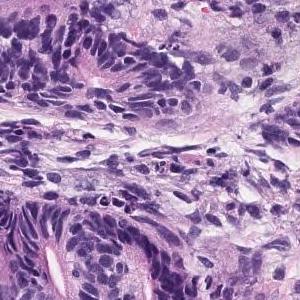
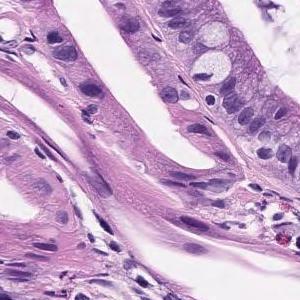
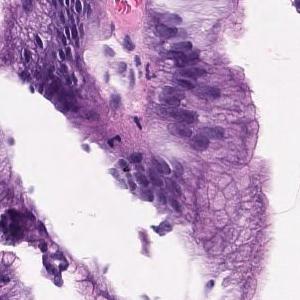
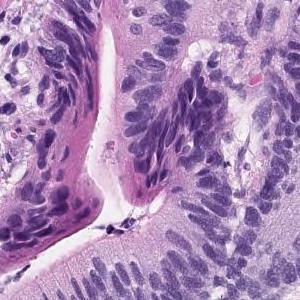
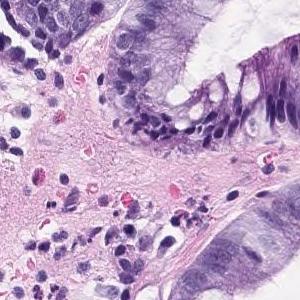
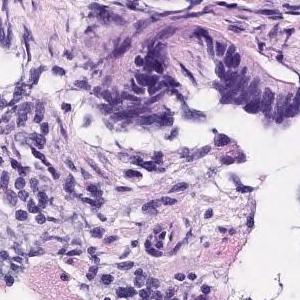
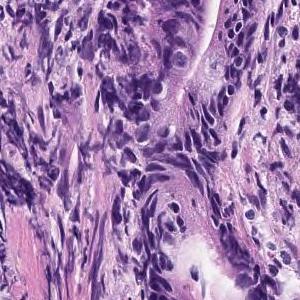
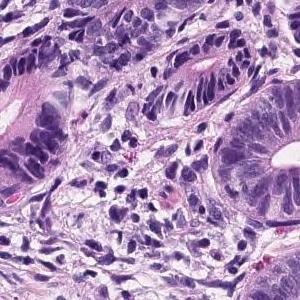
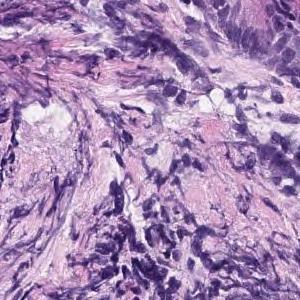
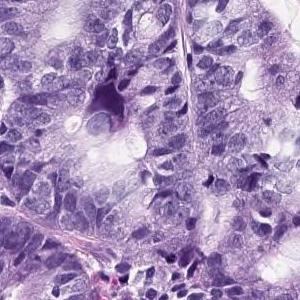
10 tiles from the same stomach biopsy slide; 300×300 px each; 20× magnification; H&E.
The pathologist's report on the biopsy slide these tiles were taken from. The report and the diagnosis describe the slide as a whole, so these tiles may not show every feature named and may include non-tumor tissue.
On the superficial epithelium, tumor tissue consisting of medium-sized to large-sized, round or irregular glandular duct growth images is observed. Well differentiated adenocarcinoma.
Tumor subtype: well differentiated tubular adenocarcinoma.
